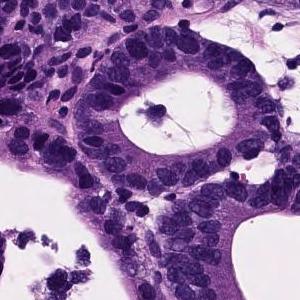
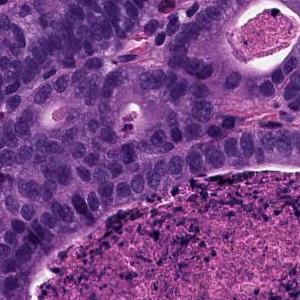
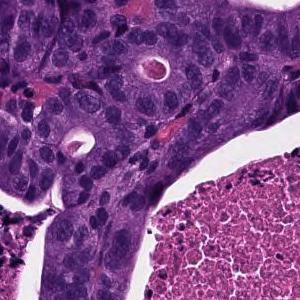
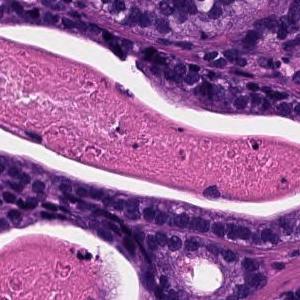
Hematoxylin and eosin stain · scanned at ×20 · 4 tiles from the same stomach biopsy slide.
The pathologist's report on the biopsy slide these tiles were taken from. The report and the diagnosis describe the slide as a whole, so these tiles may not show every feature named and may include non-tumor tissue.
From the superficial epithelium to the muscularis mucosae, tumor tissue consisting of medium-sized and irregular glandular ducts infiltrating is observed. Well differentiated tubular adenocarcinoma
